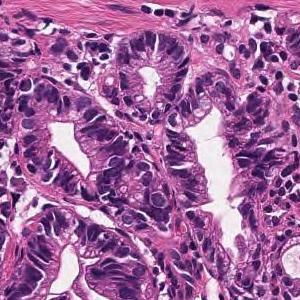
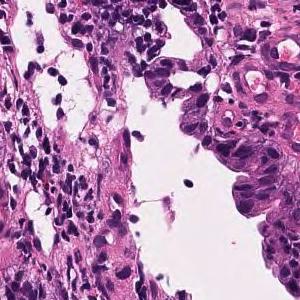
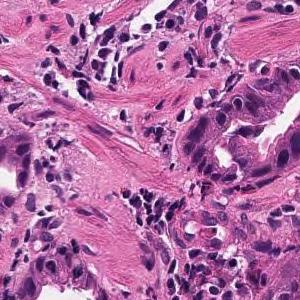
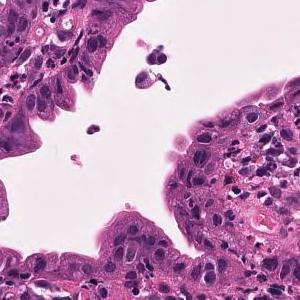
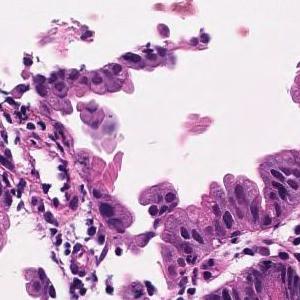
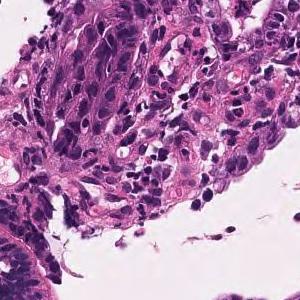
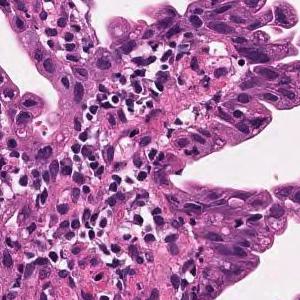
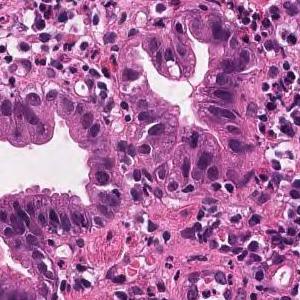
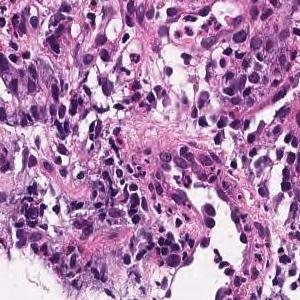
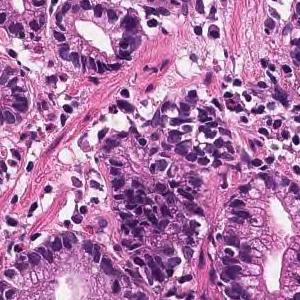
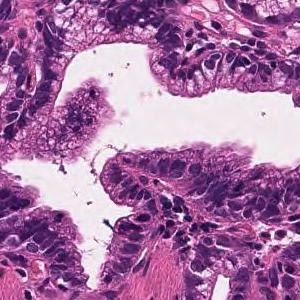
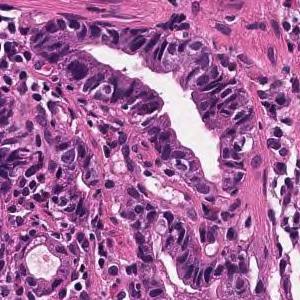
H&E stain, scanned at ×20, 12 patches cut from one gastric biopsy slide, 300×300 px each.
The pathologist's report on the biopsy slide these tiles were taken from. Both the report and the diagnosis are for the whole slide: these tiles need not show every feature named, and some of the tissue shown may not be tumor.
Tumor tissue in which medium to small irregular ducts infiltrate and proliferate in the submucosa can be seen in the epithelium. Well differentiated tubular adenocarcinoma
